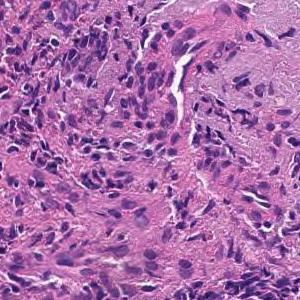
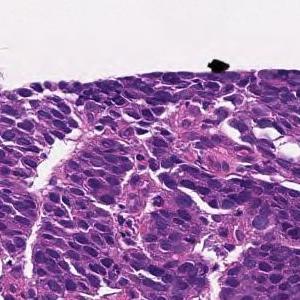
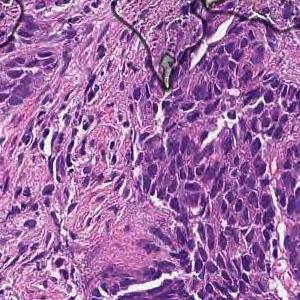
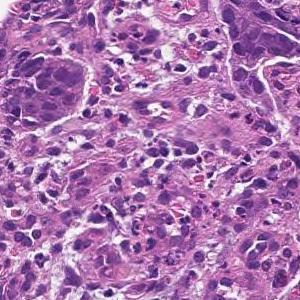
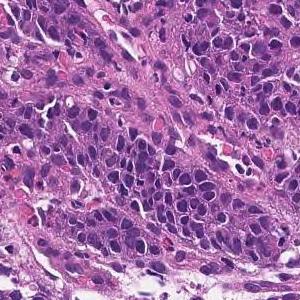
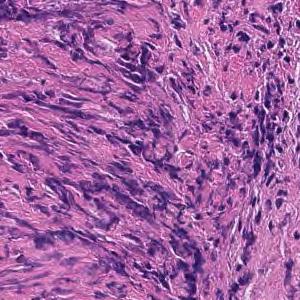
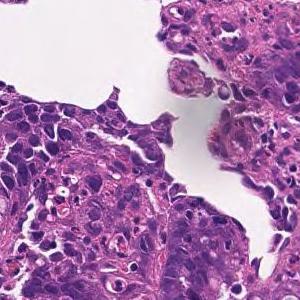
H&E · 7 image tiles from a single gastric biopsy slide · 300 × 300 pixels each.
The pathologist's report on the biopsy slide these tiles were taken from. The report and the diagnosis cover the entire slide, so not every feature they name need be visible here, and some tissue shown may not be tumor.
Tumor tissue consisting of cord-like or small, irregular glandular ducts fused and infiltrated is observed in the superficial epithelium. Poorly differentiated adenocarcinoma, non-solid type
The term "non-solid type" comes from the Japanese Classification of Gastric Carcinoma.
